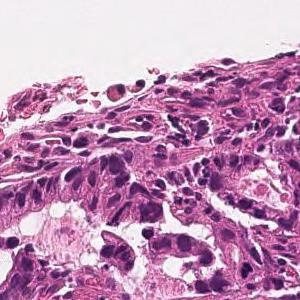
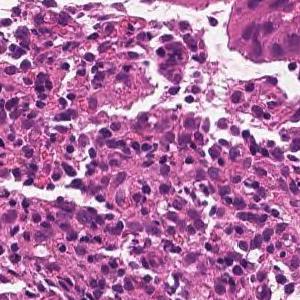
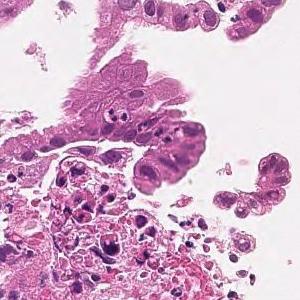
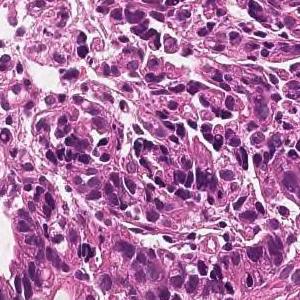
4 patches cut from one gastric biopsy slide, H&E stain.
Pathology report for the slide these tiles were cut from. The report describes the whole slide, diagnosis included: not every finding it names need appear in these tiles, which may also show non-tumor tissue.
On the superficial epithelium, tumor tissue is found in which medium-sized irregular gland ducts fuse with each other and infiltrate. moderately differentiated tubular adenocarcinoma
